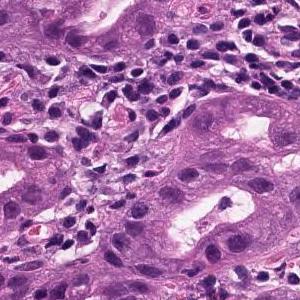
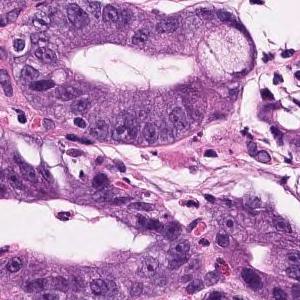
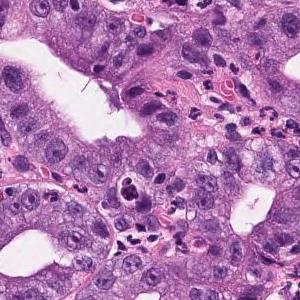
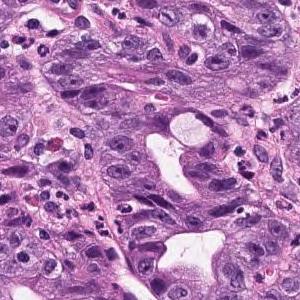
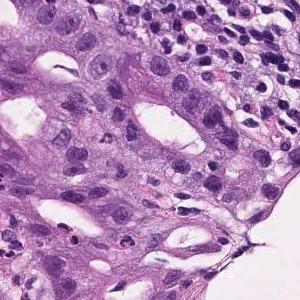
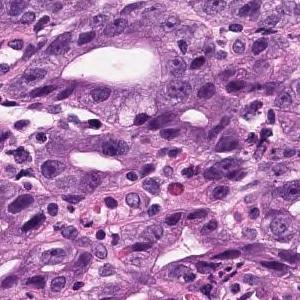
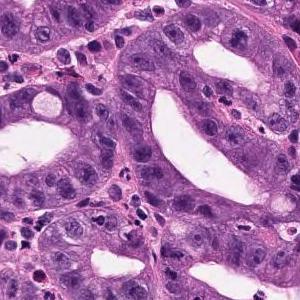
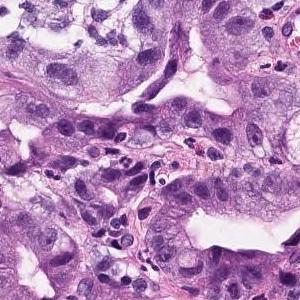
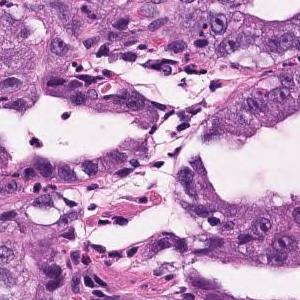
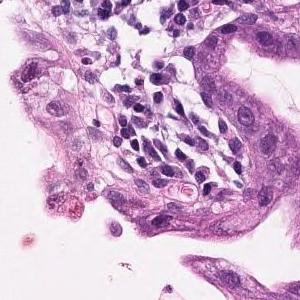
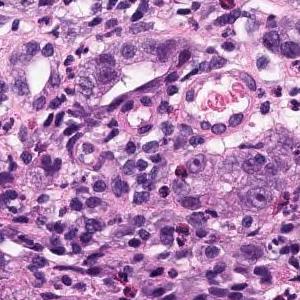
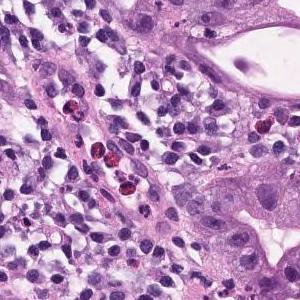
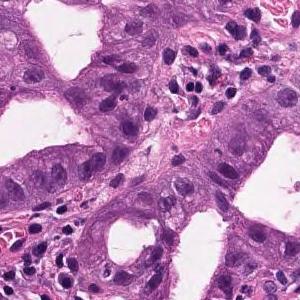
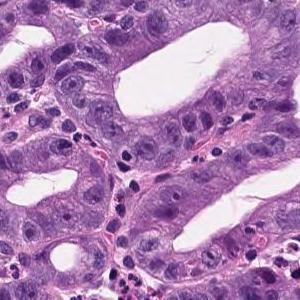
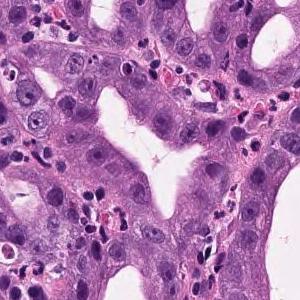
H&E stain; scanned at ×20; 15 tiles cut from one stomach biopsy slide; 300 × 300 pixels each.
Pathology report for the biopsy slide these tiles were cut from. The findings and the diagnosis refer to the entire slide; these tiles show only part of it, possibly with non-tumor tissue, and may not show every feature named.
In the superficial epithelium, tumor tissue that invades by forming medium-sized to small, irregular ducts is observed. Well to moderately differentiated adenocarcinoma (well differentiated tubular adenocarcinoma, moderately differentiated tubular adenocarcinoma).
Subtype: Well to moderately differentiated tubular adenocarcinoma.
